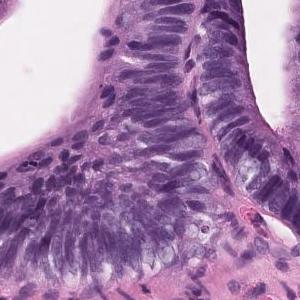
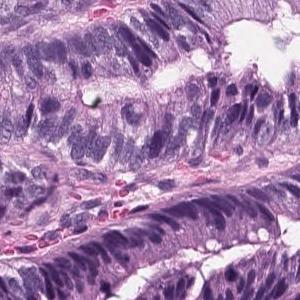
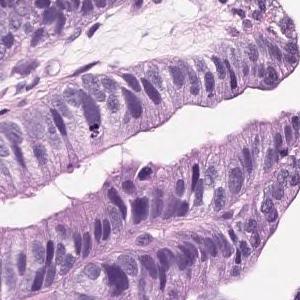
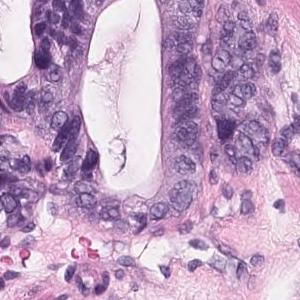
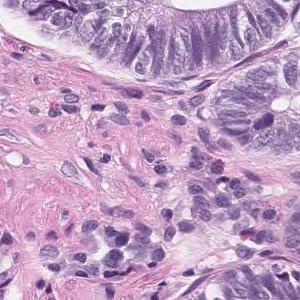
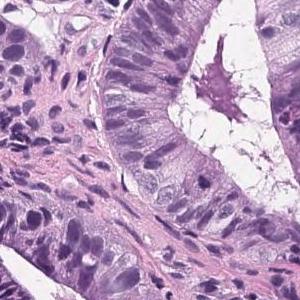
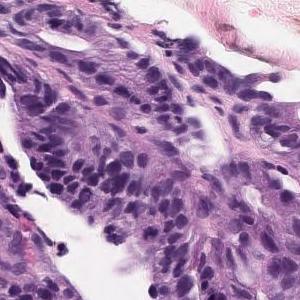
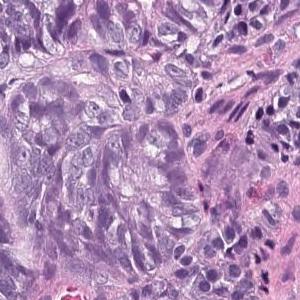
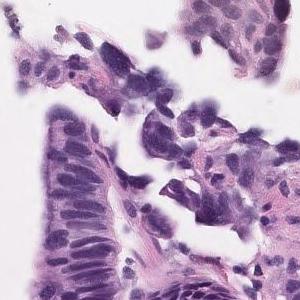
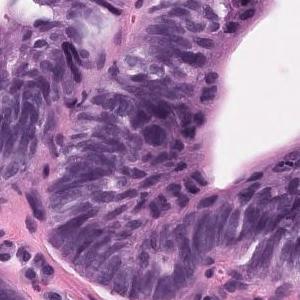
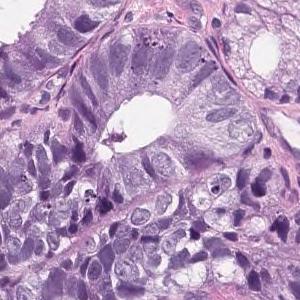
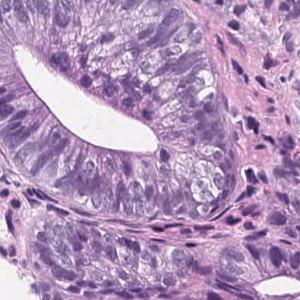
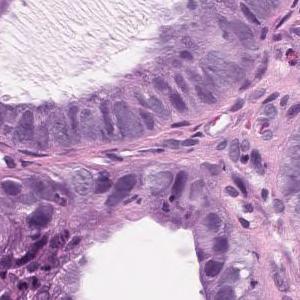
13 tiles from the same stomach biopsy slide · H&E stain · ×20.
The pathologist's report on the biopsy slide these tiles were taken from. What the report and the diagnosis say applies to the whole slide; these tiles may miss some of the features named and may include tissue that is not tumor.
Tumor tissue consisting of medium-sized and irregular ducts is observed infiltrating in the superficial epithelium. Tumor cells are highly columnar, with nuclei aligned basolaterally and polarized. Well differentiated tubular adenocarcinoma.
